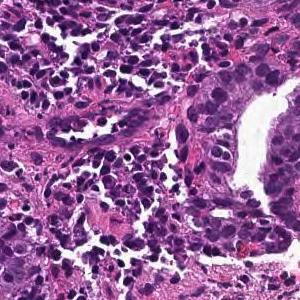
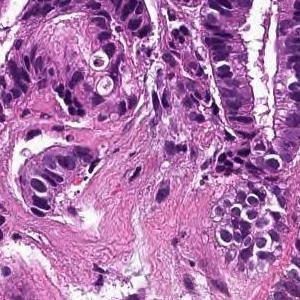
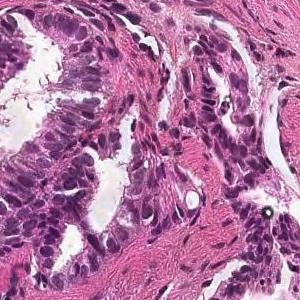
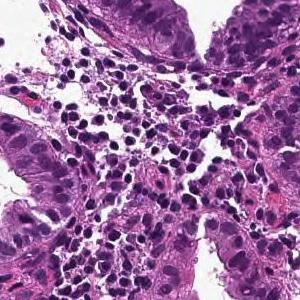
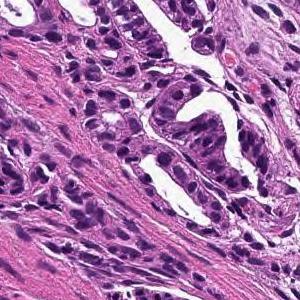
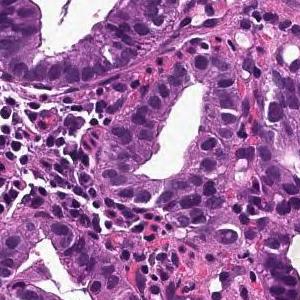
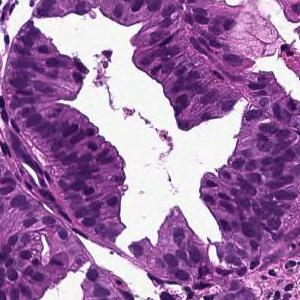
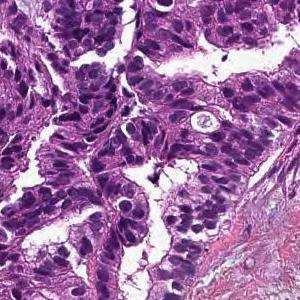
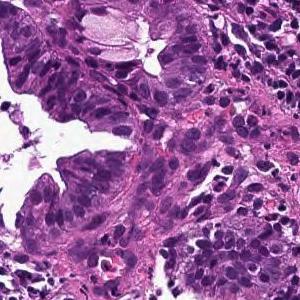
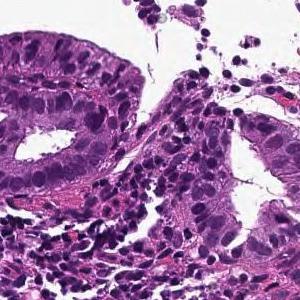
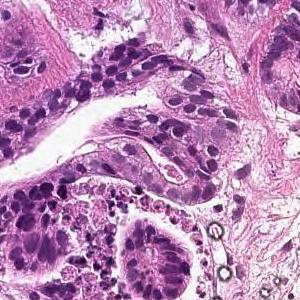
H&E; 11 tiles cut from one stomach biopsy slide; 300×300 px each.
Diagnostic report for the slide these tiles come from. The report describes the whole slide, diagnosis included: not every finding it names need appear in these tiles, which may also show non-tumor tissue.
Tumor cells are large, highly columnar, large club-shaped nuclei, and are associated with chromatin aggregation. Papillary adenocarcinoma.
